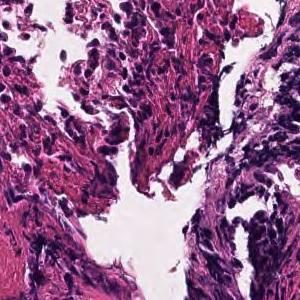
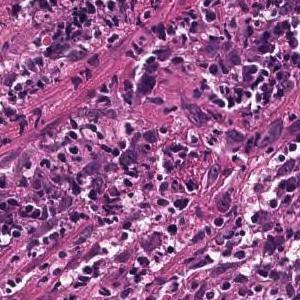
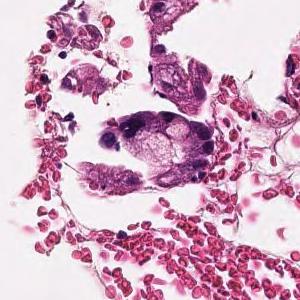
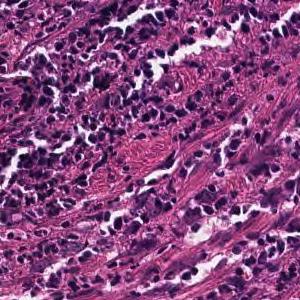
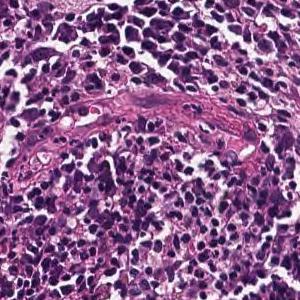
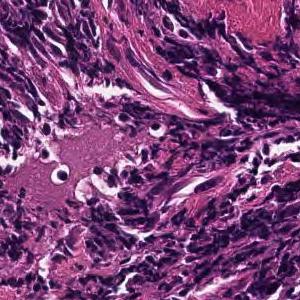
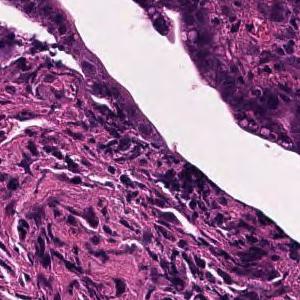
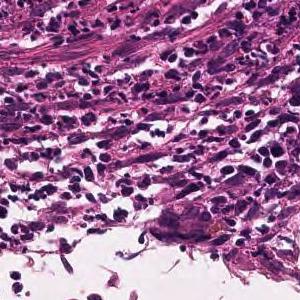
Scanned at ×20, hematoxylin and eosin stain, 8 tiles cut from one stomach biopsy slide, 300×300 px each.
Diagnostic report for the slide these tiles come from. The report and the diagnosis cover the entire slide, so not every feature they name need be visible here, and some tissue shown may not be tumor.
Tumor tissue consisting of cord-like or small, irregular glandular ducts fused and infiltrated is observed in the superficial epithelium. Poorly differentiated adenocarcinoma, non-solid type
The non-solid type named here is a Japanese Classification of Gastric Carcinoma category.
